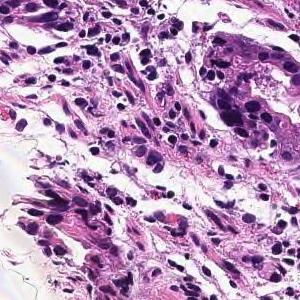
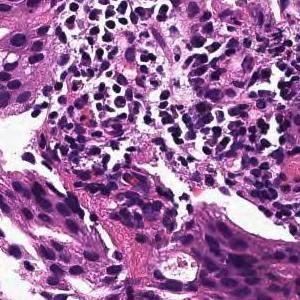
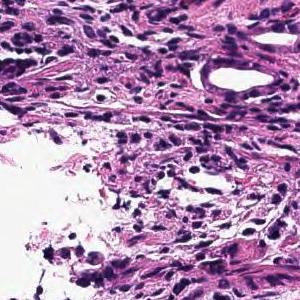
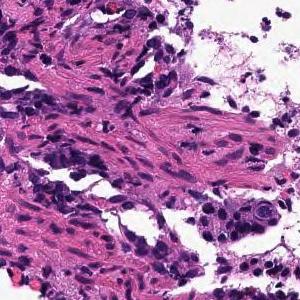
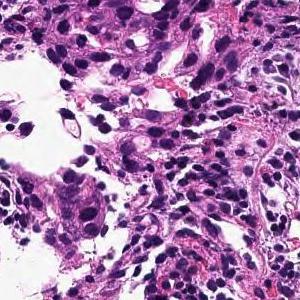
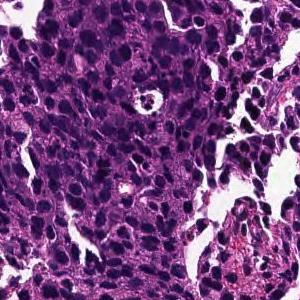
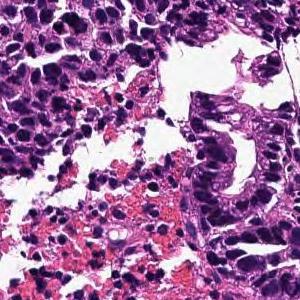
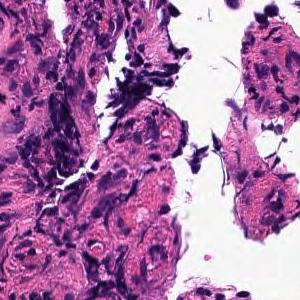
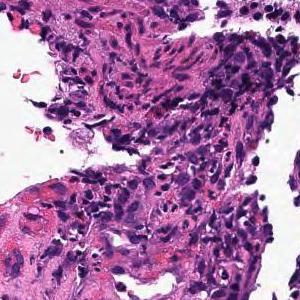
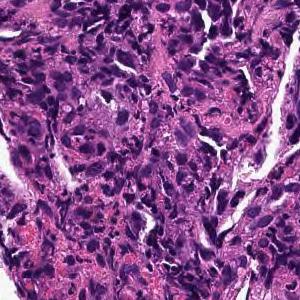
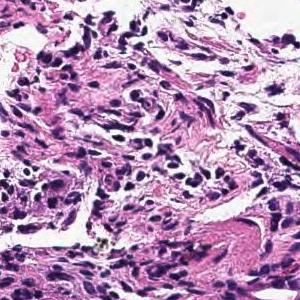
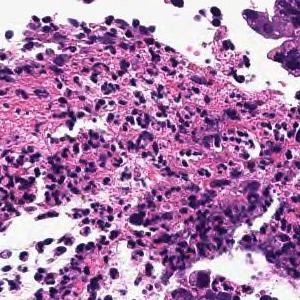
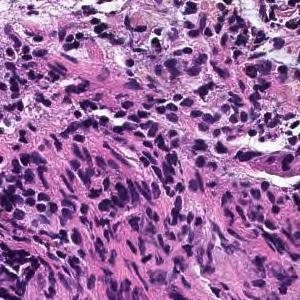
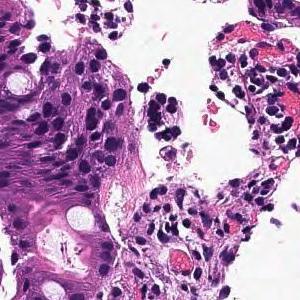
H&E stain · ×20 · 14 patches cut from one gastric biopsy slide.
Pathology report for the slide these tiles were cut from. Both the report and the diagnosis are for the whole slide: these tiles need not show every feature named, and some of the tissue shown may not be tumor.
In the superficial epithelium, tumor tissue that invades by forming medium-sized to small, irregular ducts is observed. moderately differentiated tubular adenocarcinoma.
